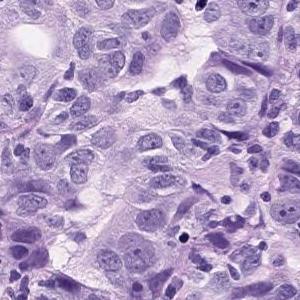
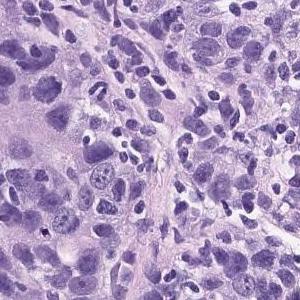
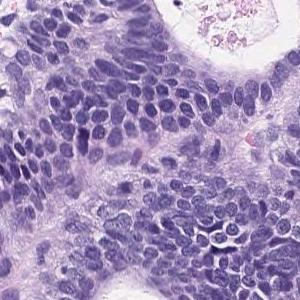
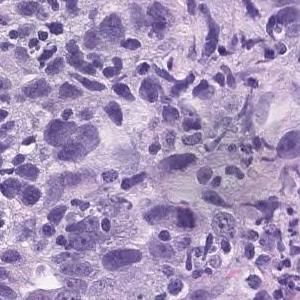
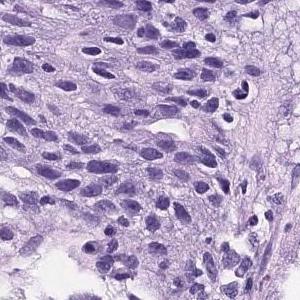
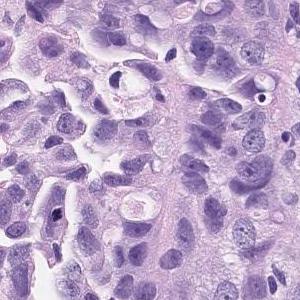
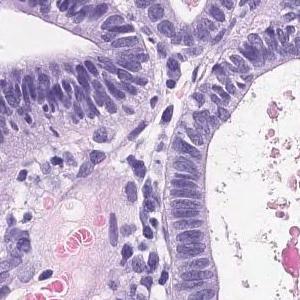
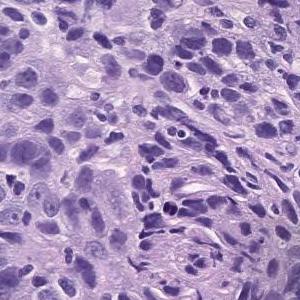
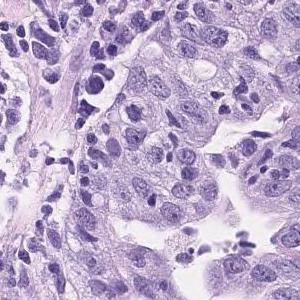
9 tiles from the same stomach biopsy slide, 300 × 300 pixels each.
The pathologist's report on the biopsy slide these tiles were taken from. The findings and the diagnosis refer to the entire slide; these tiles show only part of it, possibly with non-tumor tissue, and may not show every feature named.
The superficial epithelium shows a large sheet-like shape, and some tumor tissue infiltrates with small irregular ducts. Poorly differentiated adenocarcinoma, solid-type
Histological subtype: Poorly differentiated adenocarcinoma, solid type (Japanese Classification of Gastric Carcinoma). The WHO 2019 equivalent is tubular adenocarcinoma, poorly differentiated.
